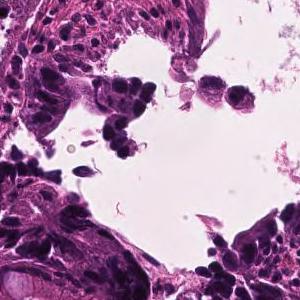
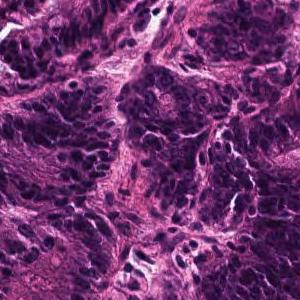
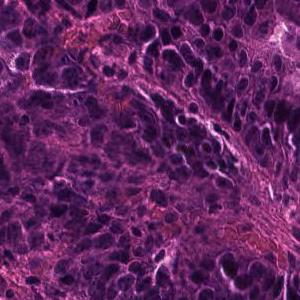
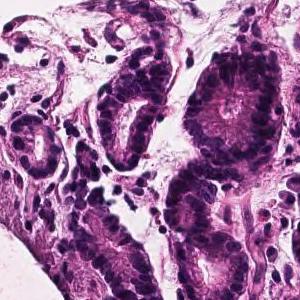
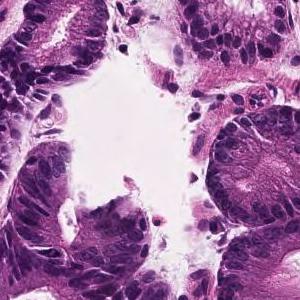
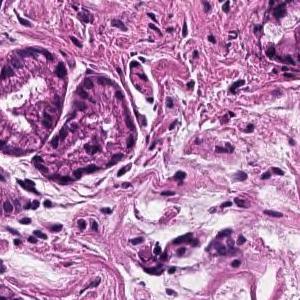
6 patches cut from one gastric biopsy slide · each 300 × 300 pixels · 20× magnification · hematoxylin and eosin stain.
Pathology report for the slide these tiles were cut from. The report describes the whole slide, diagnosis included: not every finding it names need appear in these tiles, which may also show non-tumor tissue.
In the superficial epithelium, tumor tissue that invades by forming medium-sized to small, irregular ducts is observed. Well differentiated tubular adenocarcinoma.
